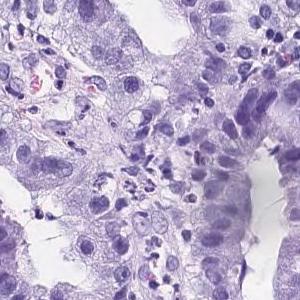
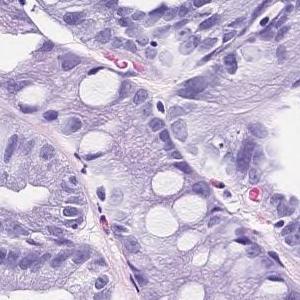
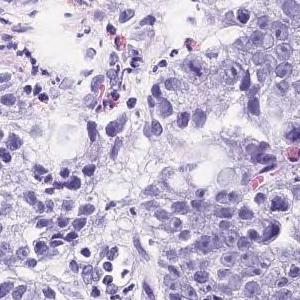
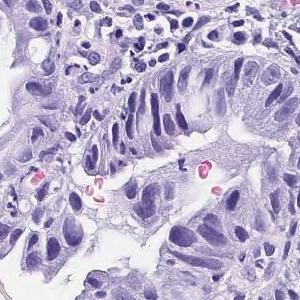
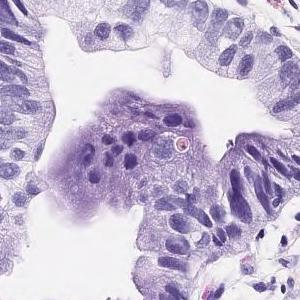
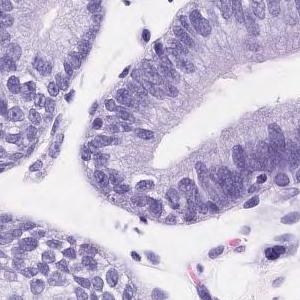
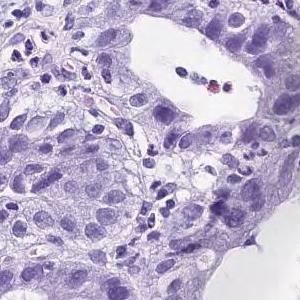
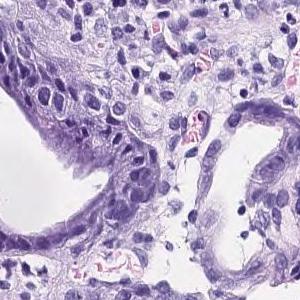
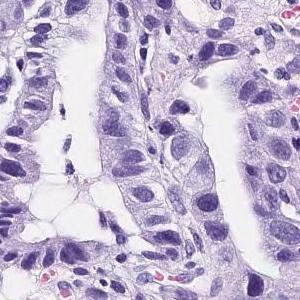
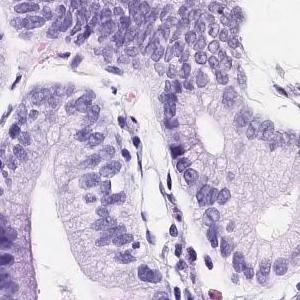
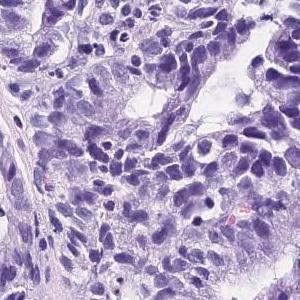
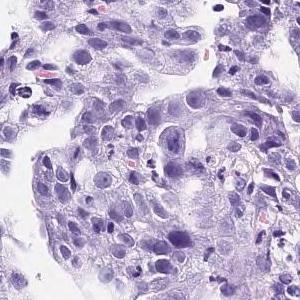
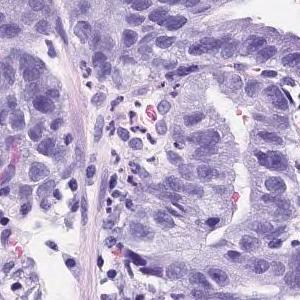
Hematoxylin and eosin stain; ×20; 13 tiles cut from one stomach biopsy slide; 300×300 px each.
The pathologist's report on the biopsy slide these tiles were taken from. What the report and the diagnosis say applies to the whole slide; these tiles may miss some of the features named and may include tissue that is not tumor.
Tumor tissue consisting of medium-sized and irregular ducts is observed infiltrating in the superficial epithelium. Tumor cells are highly columnar, with nuclei aligned basolaterally and polarized. Well differentiated tubular adenocarcinoma.
